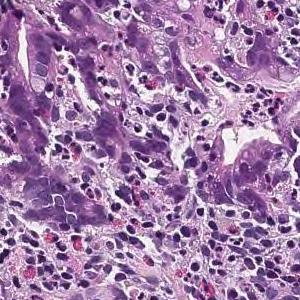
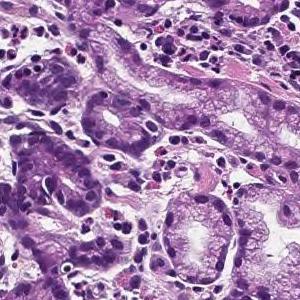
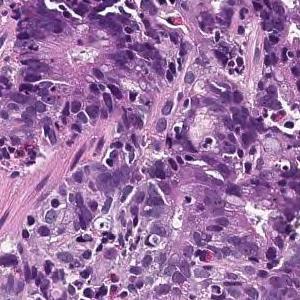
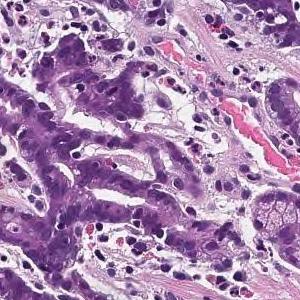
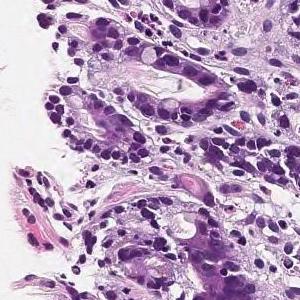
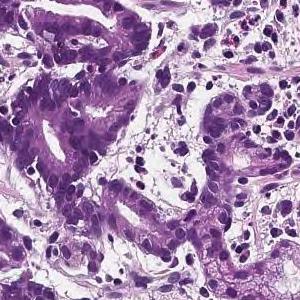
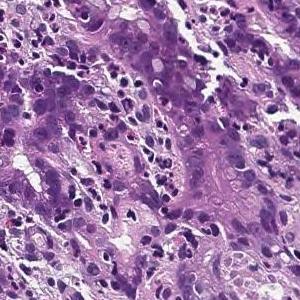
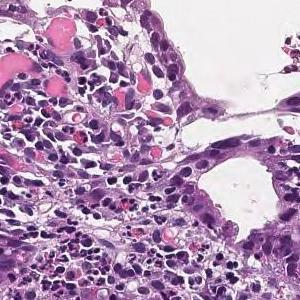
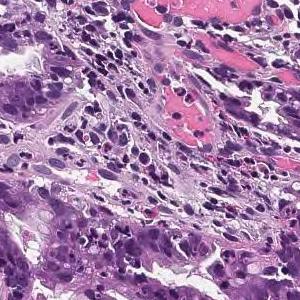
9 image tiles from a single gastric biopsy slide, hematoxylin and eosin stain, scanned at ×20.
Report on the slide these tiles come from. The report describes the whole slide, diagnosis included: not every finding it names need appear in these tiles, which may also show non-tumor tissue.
In the superficial epithelium, tumor tissue that invades by forming medium-sized to small, irregular ducts is observed. moderately differentiated tubular adenocarcinoma.
